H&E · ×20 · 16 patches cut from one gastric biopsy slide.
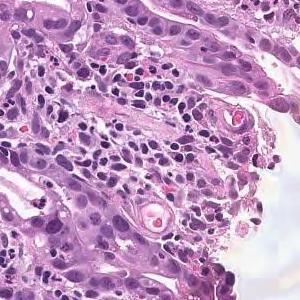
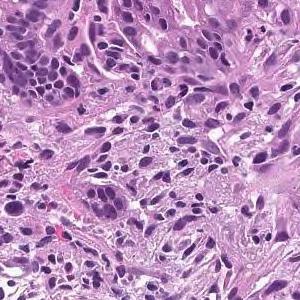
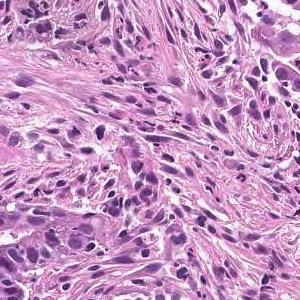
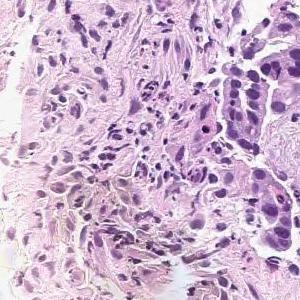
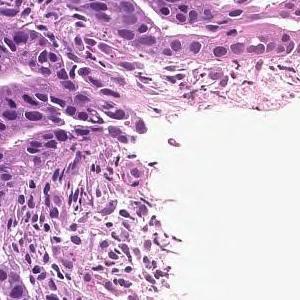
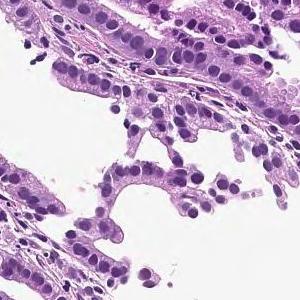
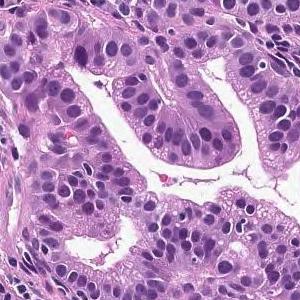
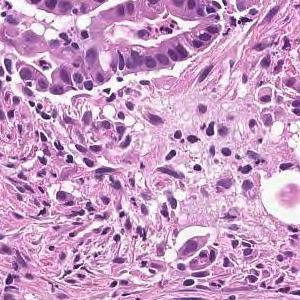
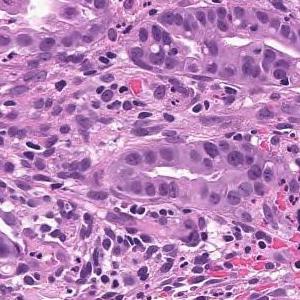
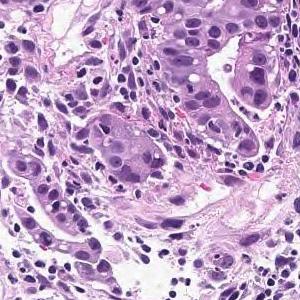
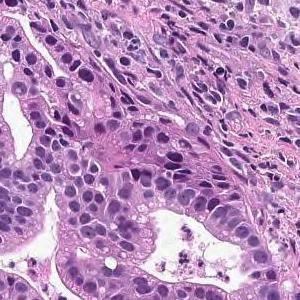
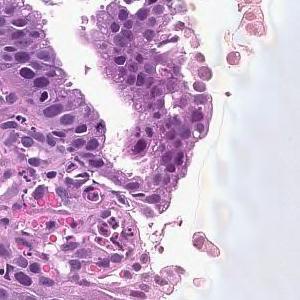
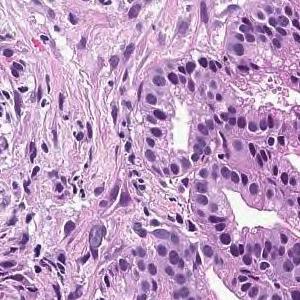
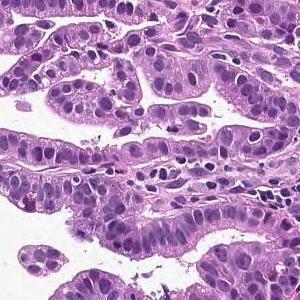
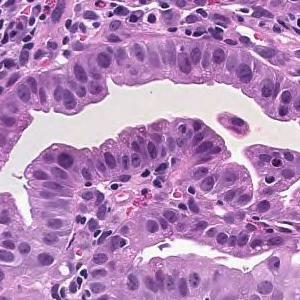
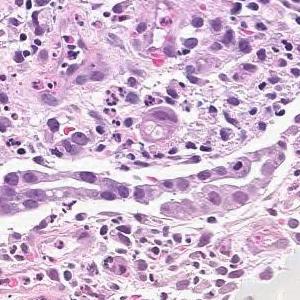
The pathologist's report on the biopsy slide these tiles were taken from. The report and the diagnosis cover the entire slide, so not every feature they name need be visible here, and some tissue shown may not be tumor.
On the superficial epithelium, tumor tissue that infiltrates by forming medium-sized papillary or small irregular ducts is observed. Papillary adenocarcinoma
